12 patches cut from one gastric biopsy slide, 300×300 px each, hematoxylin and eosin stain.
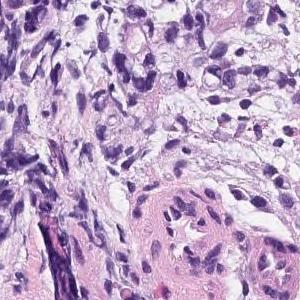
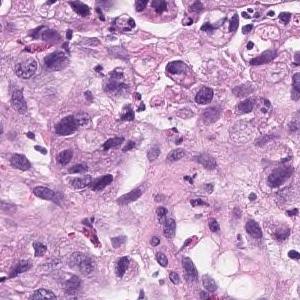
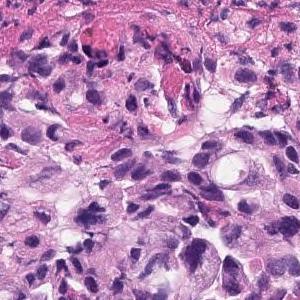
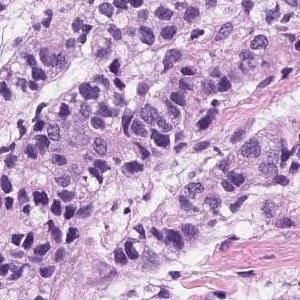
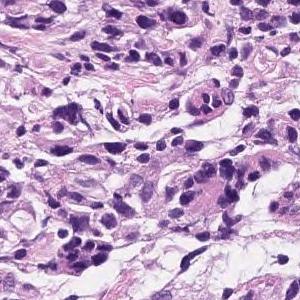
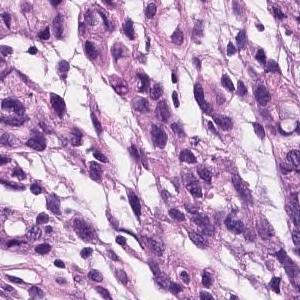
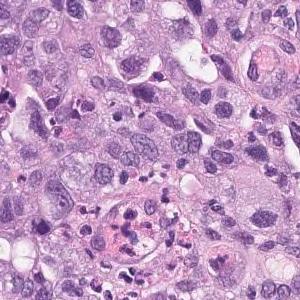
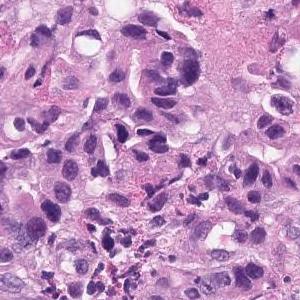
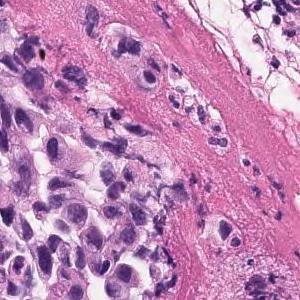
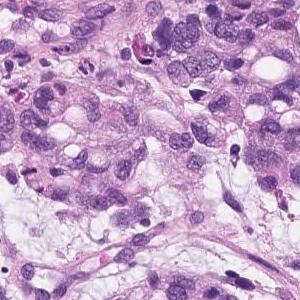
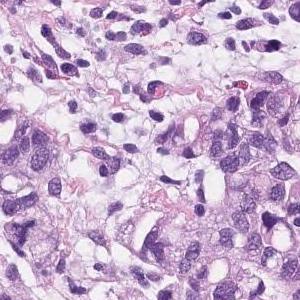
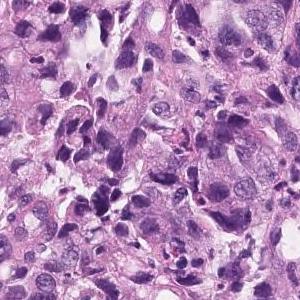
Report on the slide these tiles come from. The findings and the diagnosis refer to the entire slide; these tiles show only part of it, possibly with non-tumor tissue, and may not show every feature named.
Group 5, Adenocarcinoma. Poorly differentiated adenocarcinoma, non-solid type
The term "non-solid type" comes from the Japanese Classification of Gastric Carcinoma.
